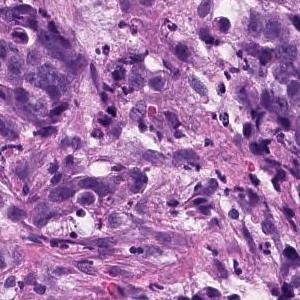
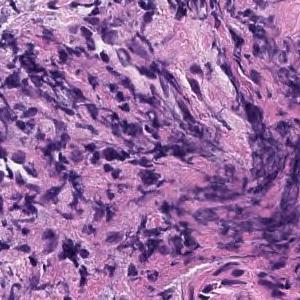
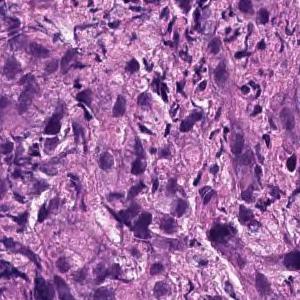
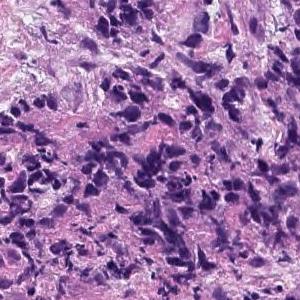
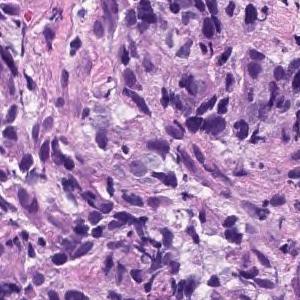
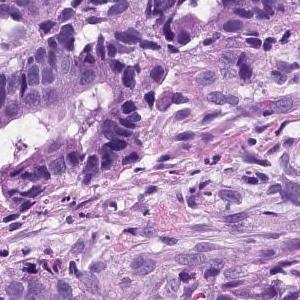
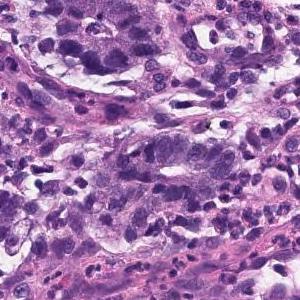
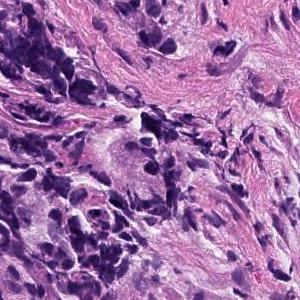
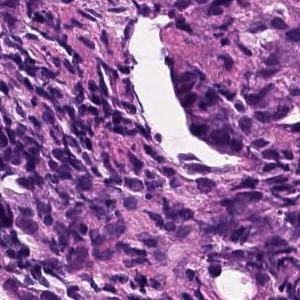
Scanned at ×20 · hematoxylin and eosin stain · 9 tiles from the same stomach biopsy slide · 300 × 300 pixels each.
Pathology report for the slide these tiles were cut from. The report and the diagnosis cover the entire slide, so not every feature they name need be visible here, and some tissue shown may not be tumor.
Medium to small, irregular glandular ducts are formed in the superficial epithelium, and in some cases, the glandular ducts are fused to show solid alveolar lesions and infiltrating tumor tissue is observed. Moderately to poorly differentiated adenocarcinoma.
